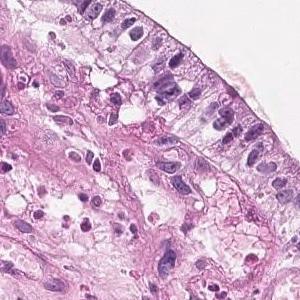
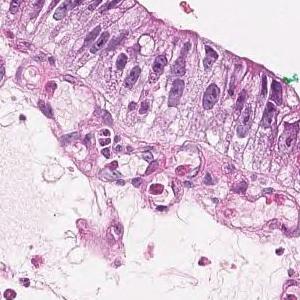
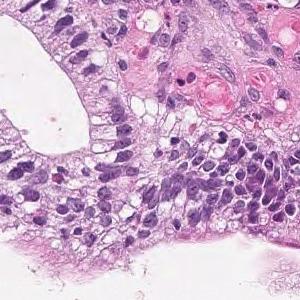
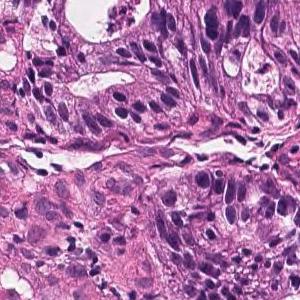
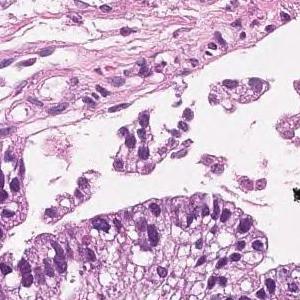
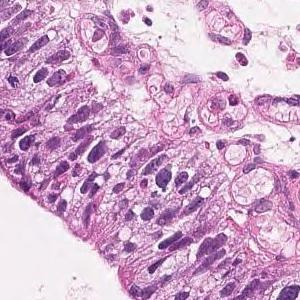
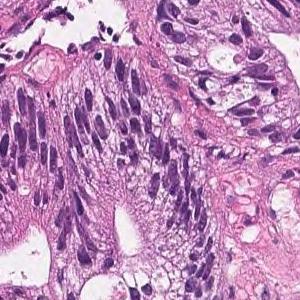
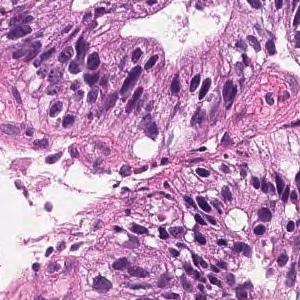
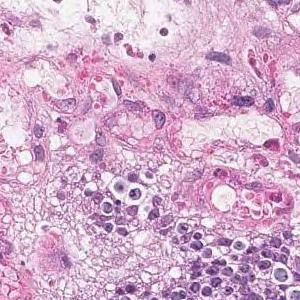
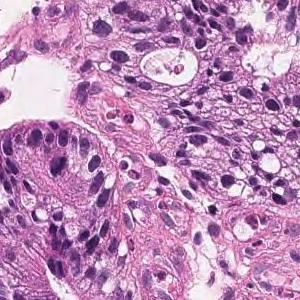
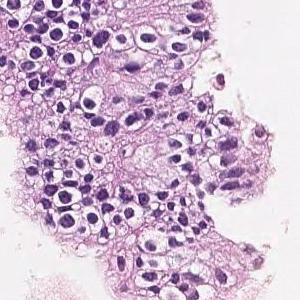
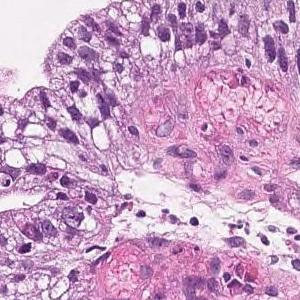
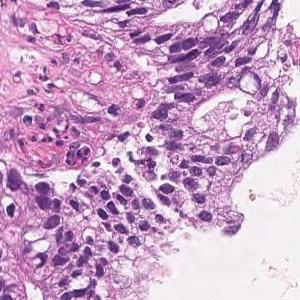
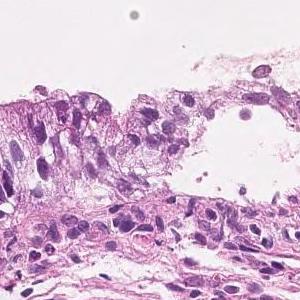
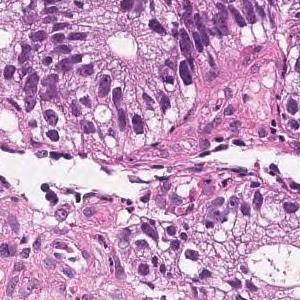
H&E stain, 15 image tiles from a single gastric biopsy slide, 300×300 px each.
Report on the slide these tiles come from. The report and the diagnosis cover the entire slide, so not every feature they name need be visible here, and some tissue shown may not be tumor.
On the superficial epithelium, tumor tissue that infiltrates by forming medium-sized papillary or small irregular ducts is observed. Papillary adenocarcinoma
